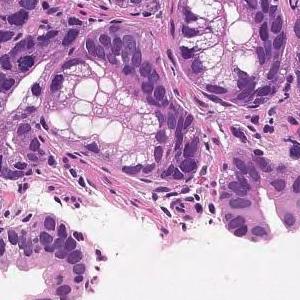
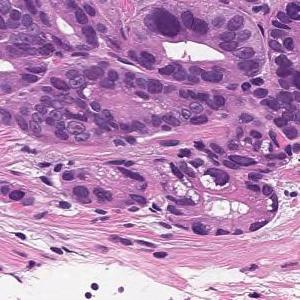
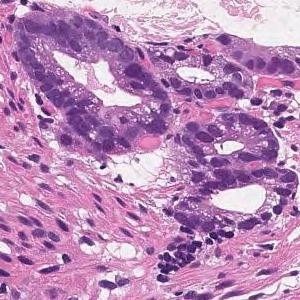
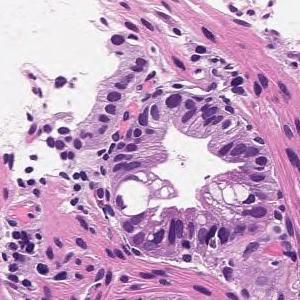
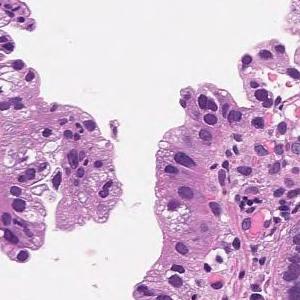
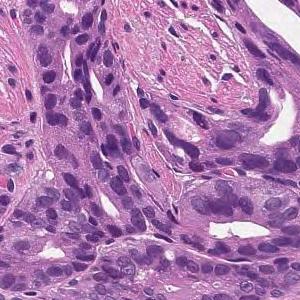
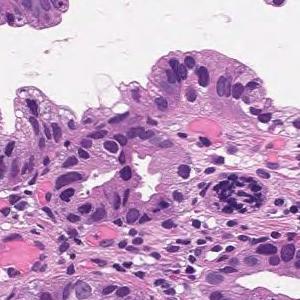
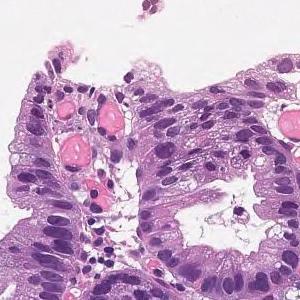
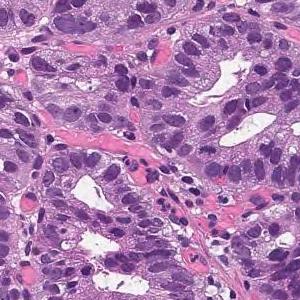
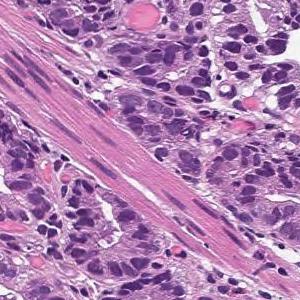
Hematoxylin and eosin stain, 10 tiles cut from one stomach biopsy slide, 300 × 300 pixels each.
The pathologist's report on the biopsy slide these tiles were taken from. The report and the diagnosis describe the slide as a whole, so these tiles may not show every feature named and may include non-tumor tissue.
On the superficial epithelium, tumor tissue consisting of large irregular glandular ducts partially fused and infiltrated is observed. Well to moderately differentiated tubular adenocarcinoma (well differentiated tubular adenocarcinoma, moderately differentiated tubular adenocarcinoma)
Histologic type: Well to moderately differentiated tubular adenocarcinoma.
